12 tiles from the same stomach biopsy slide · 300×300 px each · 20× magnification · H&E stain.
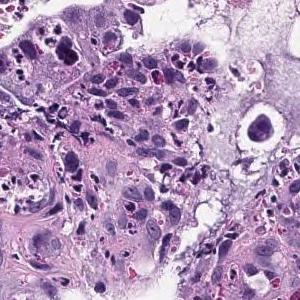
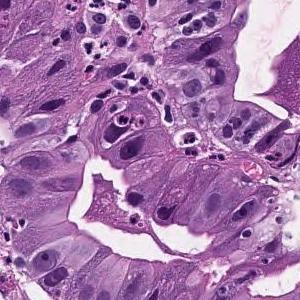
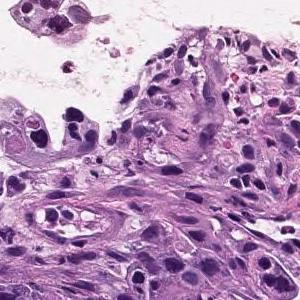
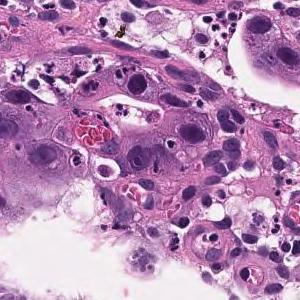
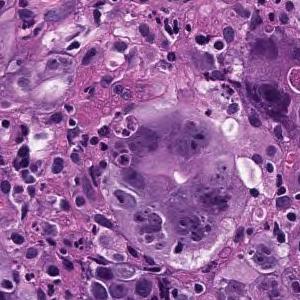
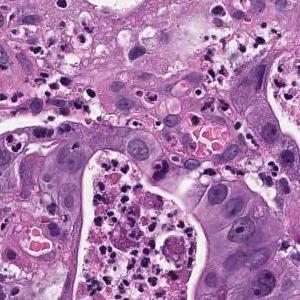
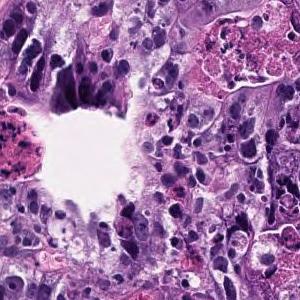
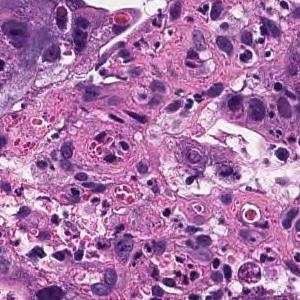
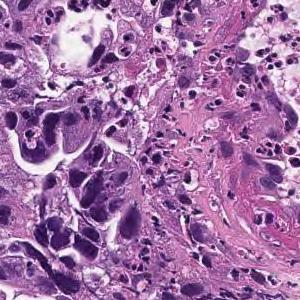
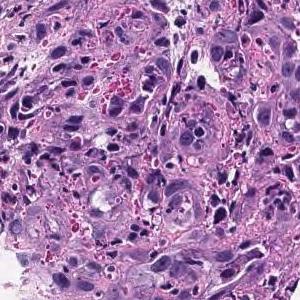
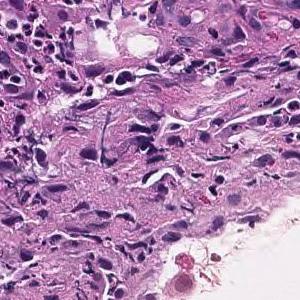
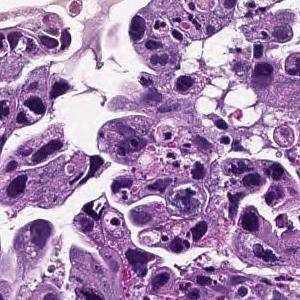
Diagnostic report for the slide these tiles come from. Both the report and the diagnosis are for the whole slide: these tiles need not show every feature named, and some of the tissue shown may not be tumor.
In the superficial epithelium, medium to small irregular gland ducts are formed, and in some cases, the ducts are fused to show solid alveolar lesions and infiltrating tumor tissue is observed. Moderately to poorly differentiated adenocarcinoma
